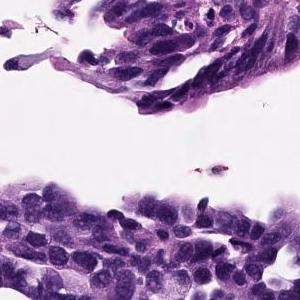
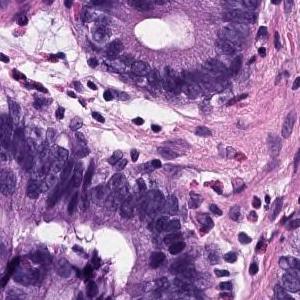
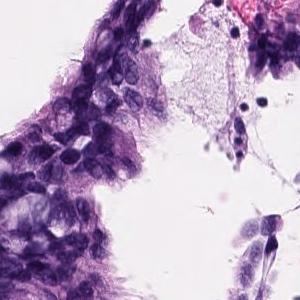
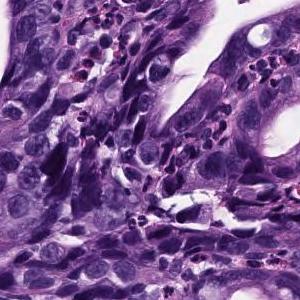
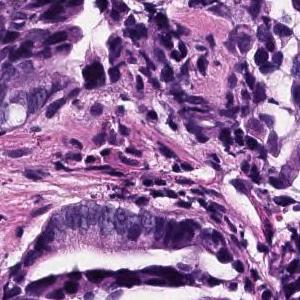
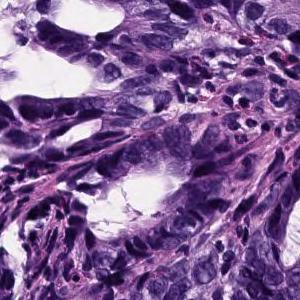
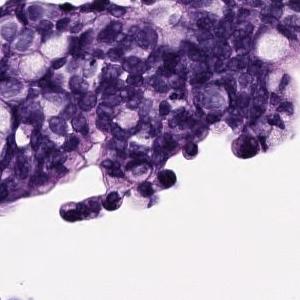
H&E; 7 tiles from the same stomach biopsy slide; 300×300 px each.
Pathology report for the biopsy slide these tiles were cut from. What the report and the diagnosis say applies to the whole slide; these tiles may miss some of the features named and may include tissue that is not tumor.
Atypical epithelium proliferating showing villus construction and irregular gland duct construction is observed. Moderately differentiated tubular adenocarcinoma.
